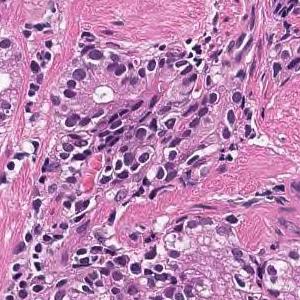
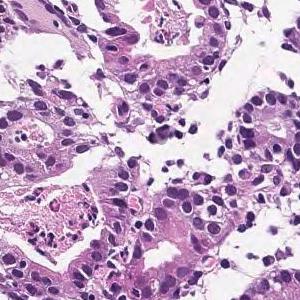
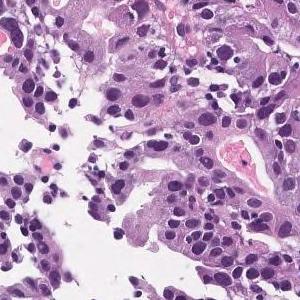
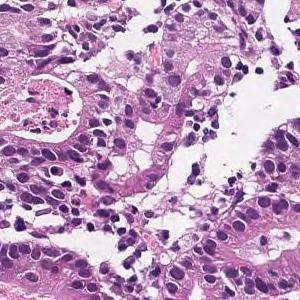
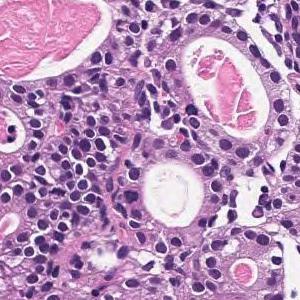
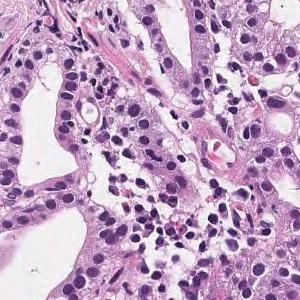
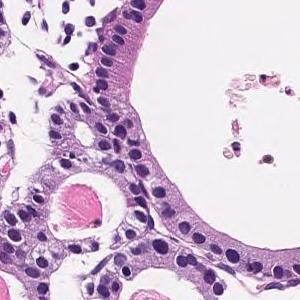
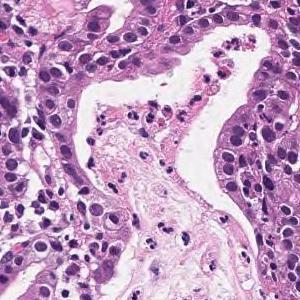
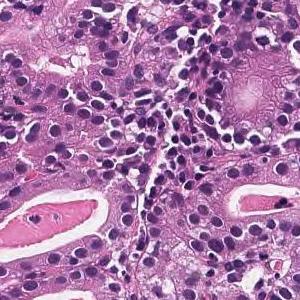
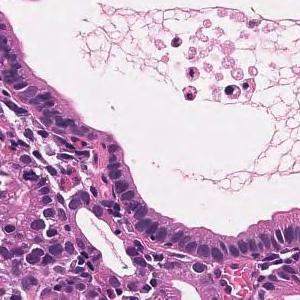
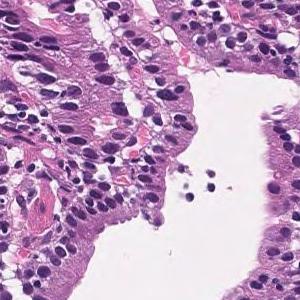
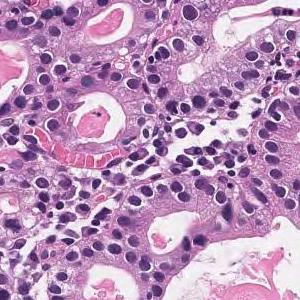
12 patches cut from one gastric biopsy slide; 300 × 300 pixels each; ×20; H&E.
Pathology report for the biopsy slide these tiles were cut from. Both the report and the diagnosis are for the whole slide: these tiles need not show every feature named, and some of the tissue shown may not be tumor.
Medium to small, irregular glandular ducts are formed in the superficial epithelium, and in some cases, the glandular ducts are fused to show solid alveolar lesions and infiltrating tumor tissue is observed. Moderately to poorly differentiated adenocarcinoma.
